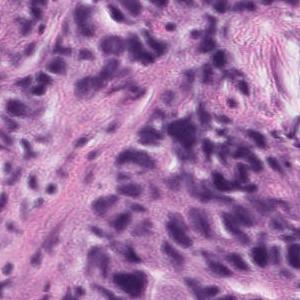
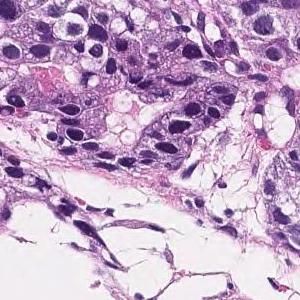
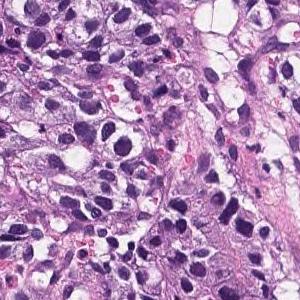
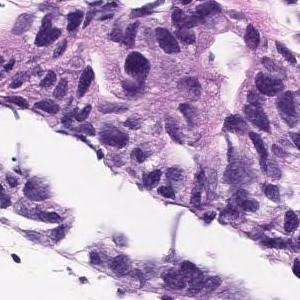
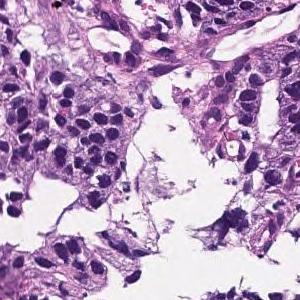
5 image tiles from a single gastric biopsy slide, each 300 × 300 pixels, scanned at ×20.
Diagnostic report for the slide these tiles come from. Both the report and the diagnosis are for the whole slide: these tiles need not show every feature named, and some of the tissue shown may not be tumor.
Medium to small, irregular glandular ducts are formed in the superficial epithelium, and in some cases, the glandular ducts are fused to show solid alveolar lesions and infiltrating tumor tissue is observed. Moderately to poorly differentiated adenocarcinoma.
